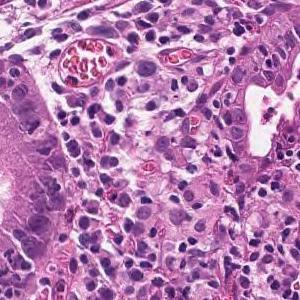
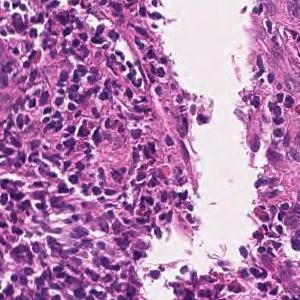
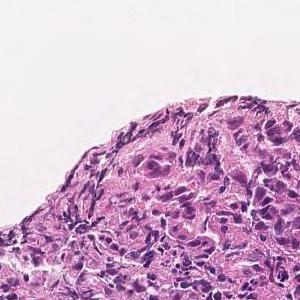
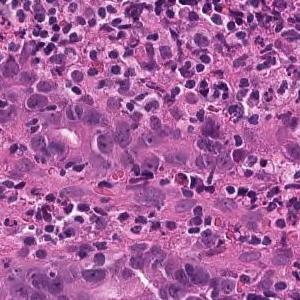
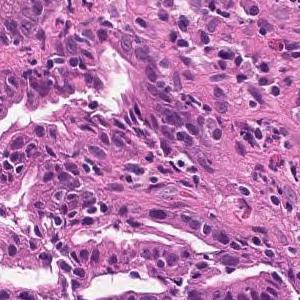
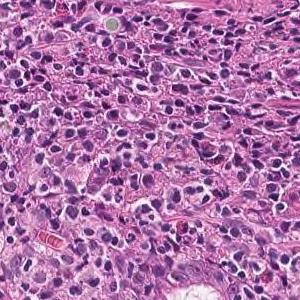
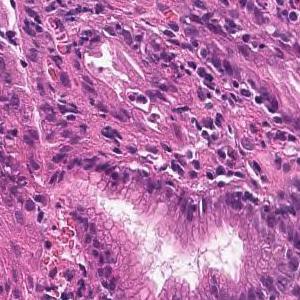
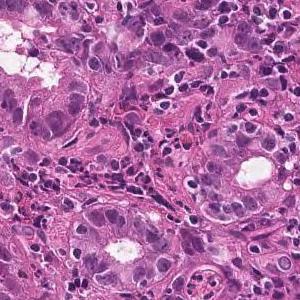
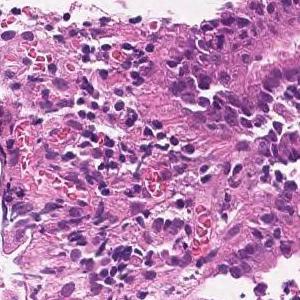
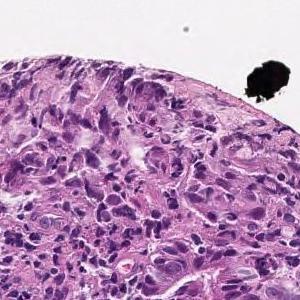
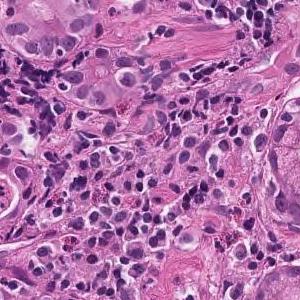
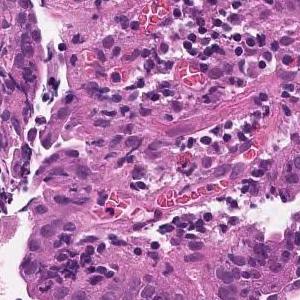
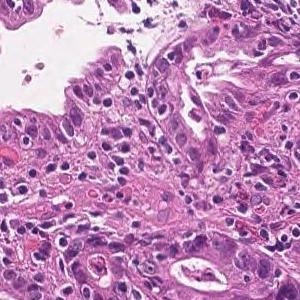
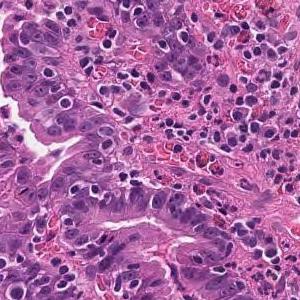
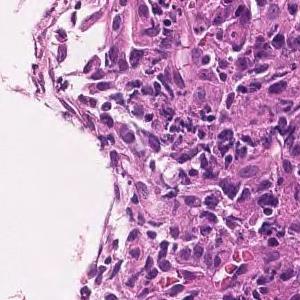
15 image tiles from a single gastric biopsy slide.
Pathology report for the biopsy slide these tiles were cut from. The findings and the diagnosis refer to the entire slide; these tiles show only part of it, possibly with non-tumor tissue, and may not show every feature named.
Tumor tissue consisting of medium-sized, cord-like or irregular glandular infiltration is observed in the superficial epithelium. Poorly differentiated adenocarcinoma, non-solid type or moderately differentiated tubular adenocarcinoma
Labeled in the dataset as poorly differentiated adenocarcinoma, non-solid type.
"Non-solid type" is a category of the Japanese Classification of Gastric Carcinoma.
